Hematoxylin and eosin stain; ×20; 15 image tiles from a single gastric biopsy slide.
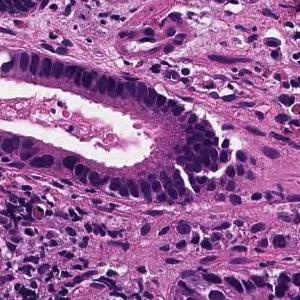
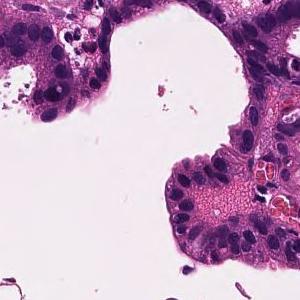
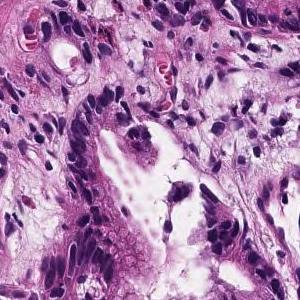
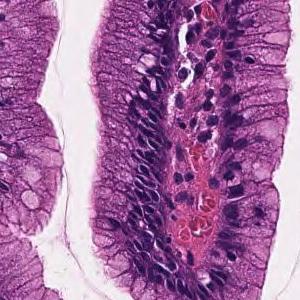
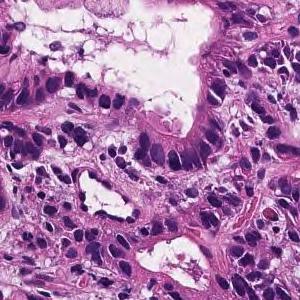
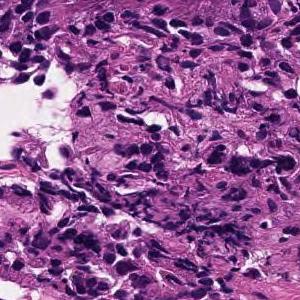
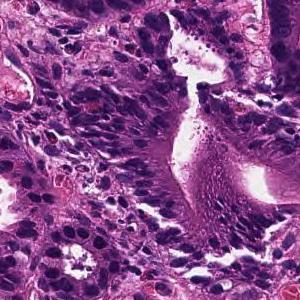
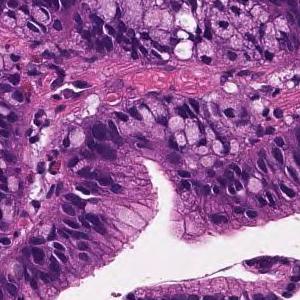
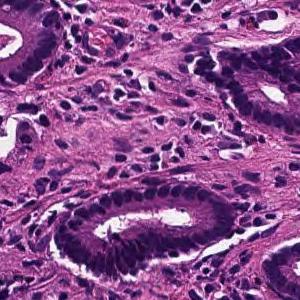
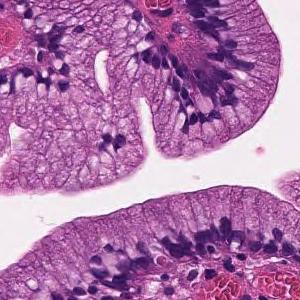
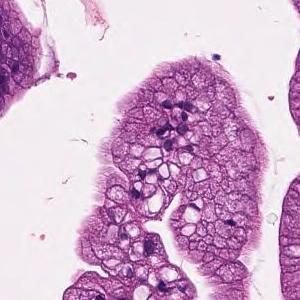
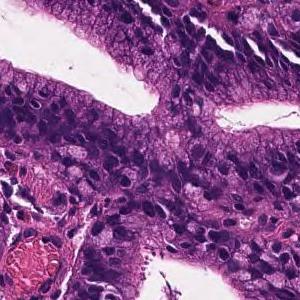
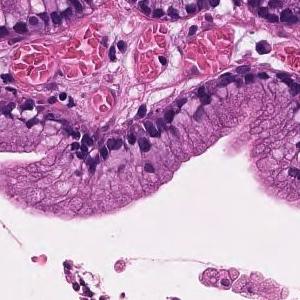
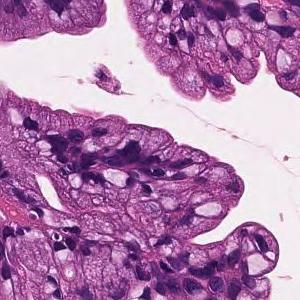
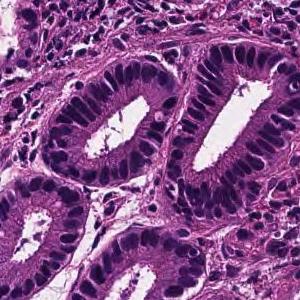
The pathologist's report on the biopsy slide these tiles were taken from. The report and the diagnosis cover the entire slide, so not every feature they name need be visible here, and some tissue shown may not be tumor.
On the superficial epithelium, tumor tissue consisting of medium-sized and irregular glandular ducts partially fused and infiltrated is observed. Well to moderately differentiated tubular adenocarcinoma (well differentiated tubular adenocarcinoma-moderately differentiated tubular adenocarcinoma)
Classified as well to moderately differentiated tubular adenocarcinoma.
